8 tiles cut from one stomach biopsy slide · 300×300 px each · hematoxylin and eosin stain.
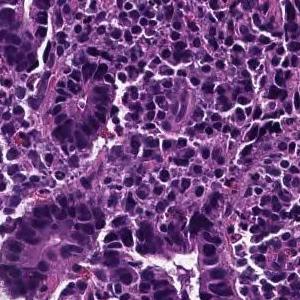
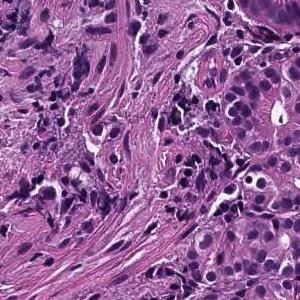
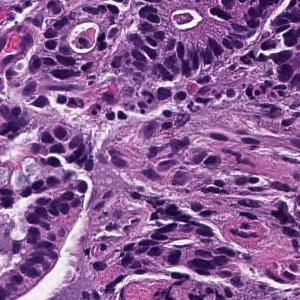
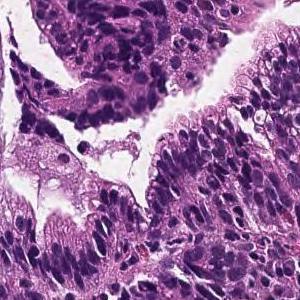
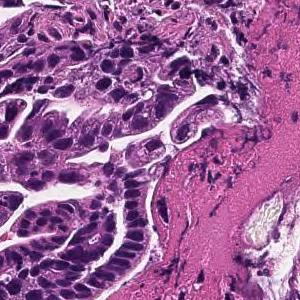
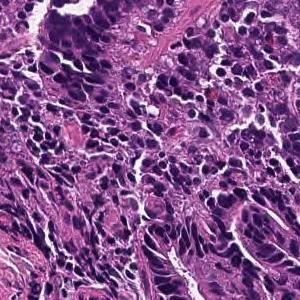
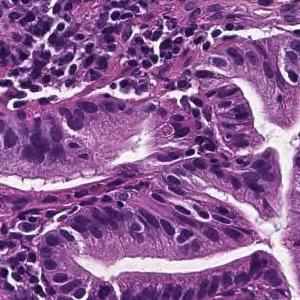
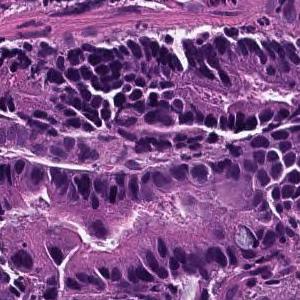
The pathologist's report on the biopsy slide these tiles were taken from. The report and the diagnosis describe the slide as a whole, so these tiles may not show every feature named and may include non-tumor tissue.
On the superficial epithelium, tumor tissue consisting of large irregular glandular ducts partially fused and infiltrated is observed. Well to moderately differentiated tubular adenocarcinoma (well differentiated tubular adenocarcinoma, moderately differentiated tubular adenocarcinoma)
Tumor subtype: well to moderately differentiated tubular adenocarcinoma.
